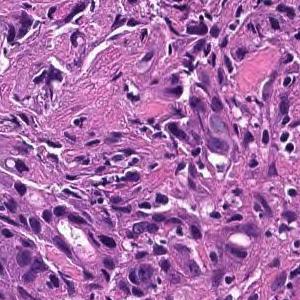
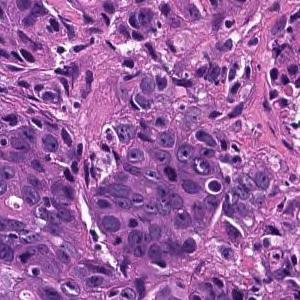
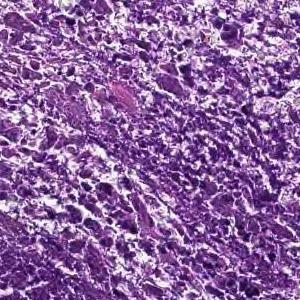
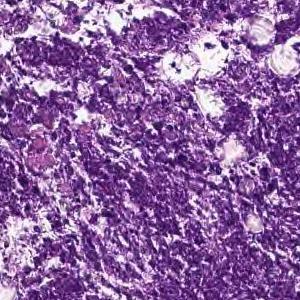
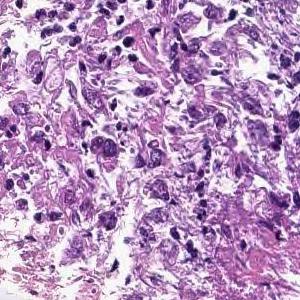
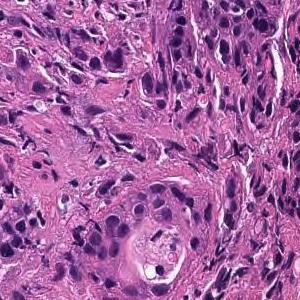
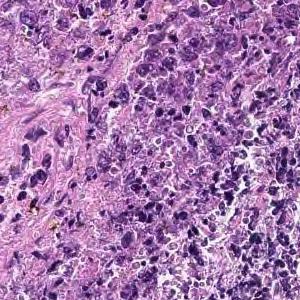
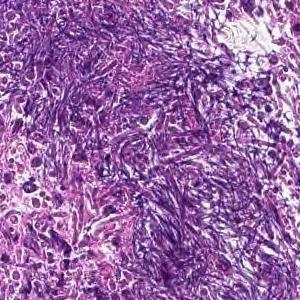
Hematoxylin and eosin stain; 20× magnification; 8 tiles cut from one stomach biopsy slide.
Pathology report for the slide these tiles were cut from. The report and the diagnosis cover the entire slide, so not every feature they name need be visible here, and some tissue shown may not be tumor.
Cancers with polygonal nuclei do not show glandular formation and are densely, in part, cord-like and proliferate. Poorly differentiated adenocarcinoma
Histologic type: Poorly differentiated adenocarcinoma, non-solid type.
"Non-solid type" is a category of the Japanese Classification of Gastric Carcinoma.
